7 image tiles from a single gastric biopsy slide · ×20 · H&E.
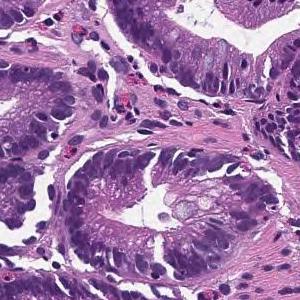
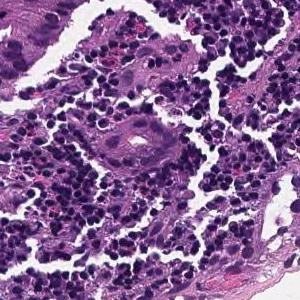
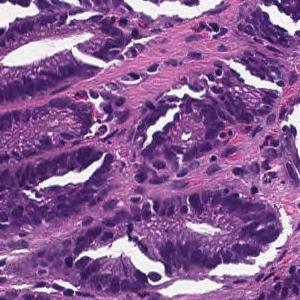
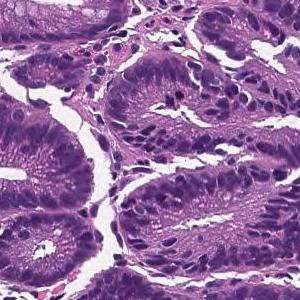
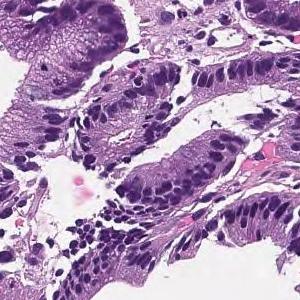
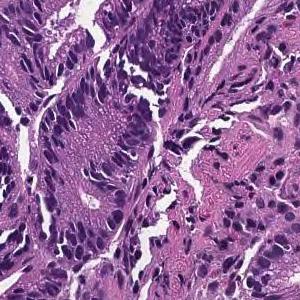
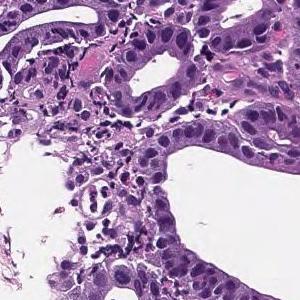
Diagnostic report for the slide these tiles come from. What the report and the diagnosis say applies to the whole slide; these tiles may miss some of the features named and may include tissue that is not tumor.
From the superficial epithelium to the muscularis mucosae, tumor tissue consisting of medium-sized and irregular glandular ducts infiltrating is observed. Well differentiated tubular adenocarcinoma
